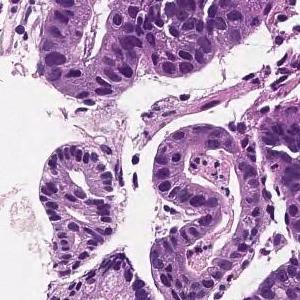
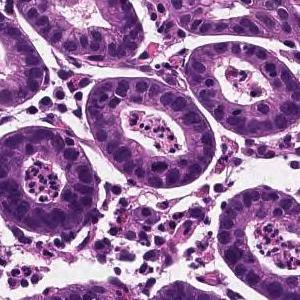
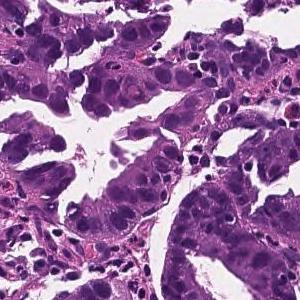
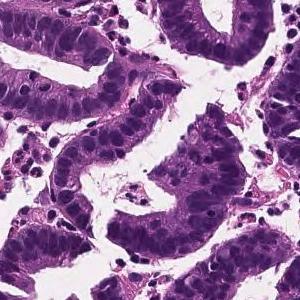
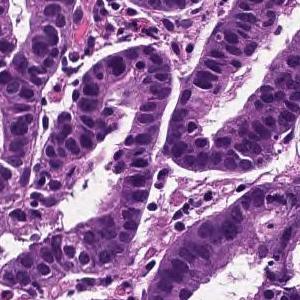
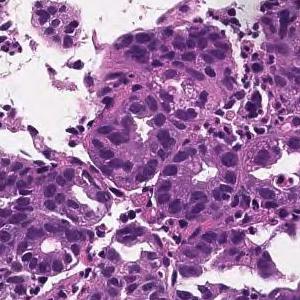
6 tiles cut from one stomach biopsy slide; scanned at ×20; H&E.
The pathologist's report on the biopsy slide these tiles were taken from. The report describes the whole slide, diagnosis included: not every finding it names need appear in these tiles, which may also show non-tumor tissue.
On the superficial epithelium, tumor tissue consisting of medium-sized irregular or small round gland ducts showing a small cord-like shape and infiltrating is observed. Well differentiated tubular adenocarcinoma or Poorly differentiated adenocarcinoma, non-solid type
The dataset labels this slide well differentiated tubular adenocarcinoma.
"Non-solid type" is a category of the Japanese Classification of Gastric Carcinoma.
